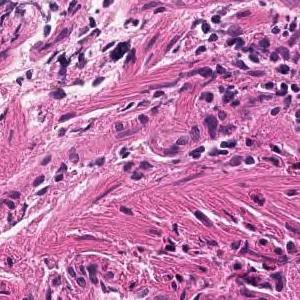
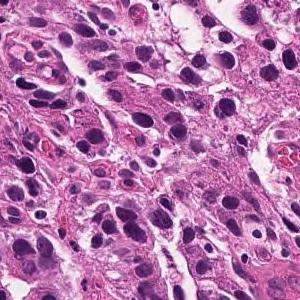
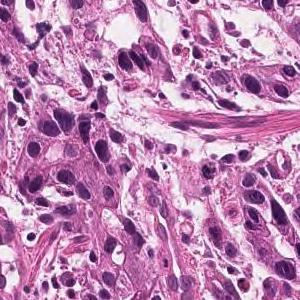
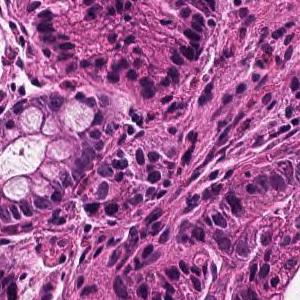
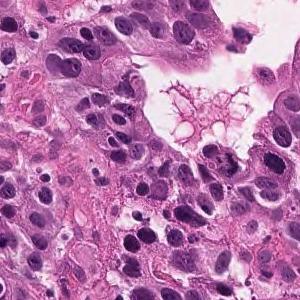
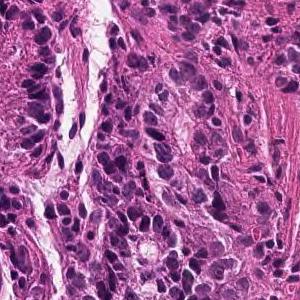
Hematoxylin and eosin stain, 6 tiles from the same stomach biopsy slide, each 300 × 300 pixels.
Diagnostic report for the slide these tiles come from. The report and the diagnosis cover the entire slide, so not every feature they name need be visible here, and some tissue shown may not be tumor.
Tumor tissue consisting of medium-sized, cord-like or irregular glandular infiltration is observed in the superficial epithelium. Poorly differentiated adenocarcinoma, non-solid type or moderately differentiated tubular adenocarcinoma
Histological subtype: Moderately to poorly differentiated adenocarcinoma.
The term "non-solid type" comes from the Japanese Classification of Gastric Carcinoma.
